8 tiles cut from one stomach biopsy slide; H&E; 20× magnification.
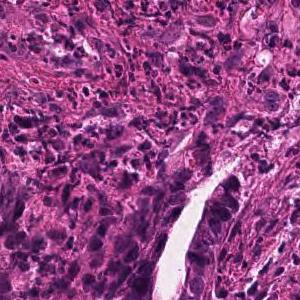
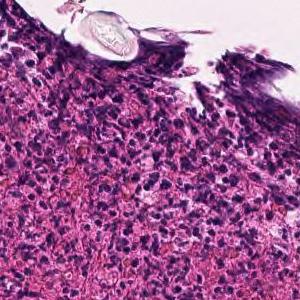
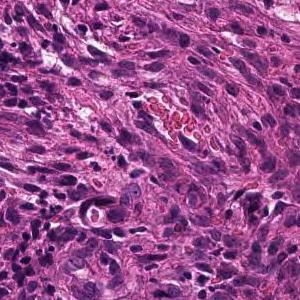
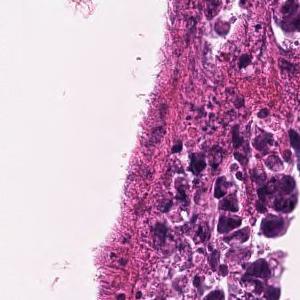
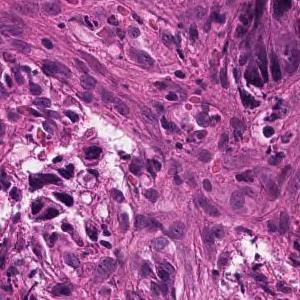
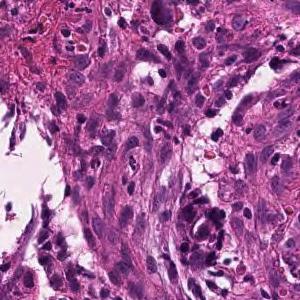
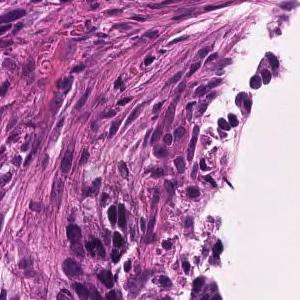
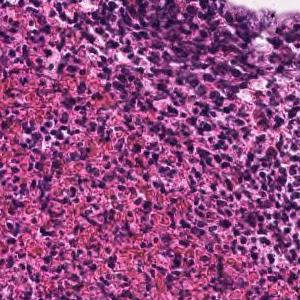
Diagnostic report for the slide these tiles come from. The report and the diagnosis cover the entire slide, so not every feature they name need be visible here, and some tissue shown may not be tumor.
In the superficial epithelium, tumor tissue that invades by forming medium-sized to small, irregular ducts is observed. moderately differentiated tubular adenocarcinoma.
